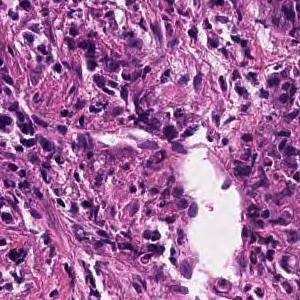
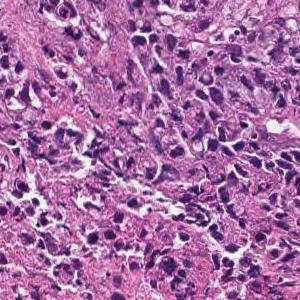
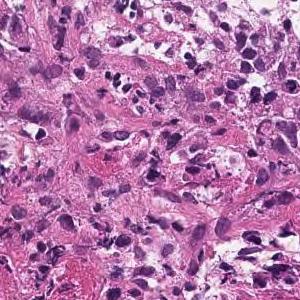
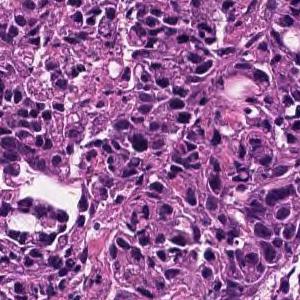
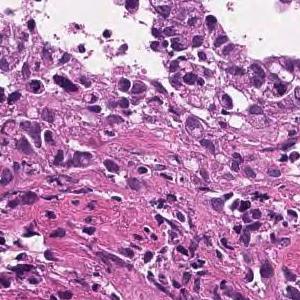
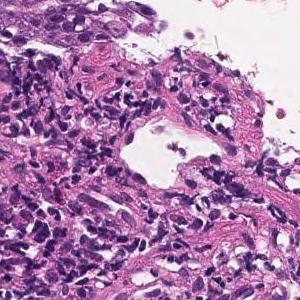
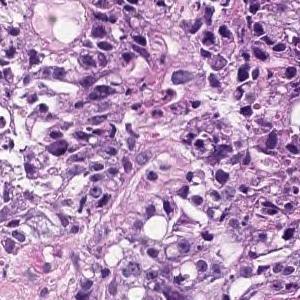
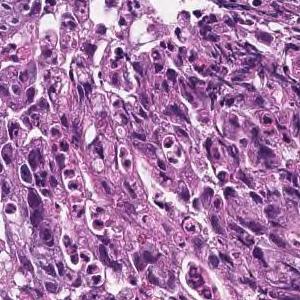
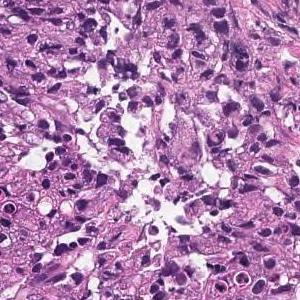
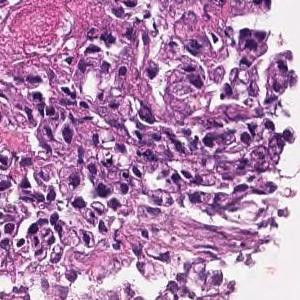
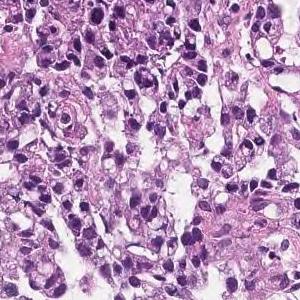
H&E; 20× magnification; 11 tiles from the same stomach biopsy slide.
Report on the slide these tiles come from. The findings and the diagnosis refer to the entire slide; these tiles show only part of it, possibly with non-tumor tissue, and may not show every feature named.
Medium to small, irregular glandular ducts are formed in the superficial epithelium, and in some cases, the glandular ducts are fused to show solid alveolar lesions and infiltrating tumor tissue is observed. Moderately to poorly differentiated adenocarcinoma.
